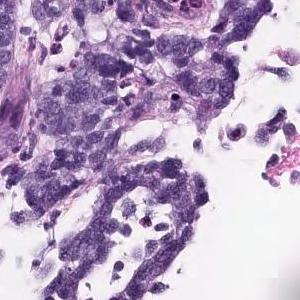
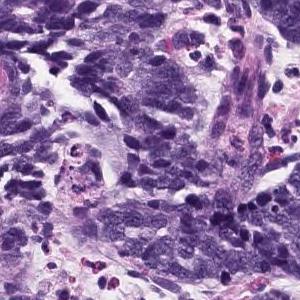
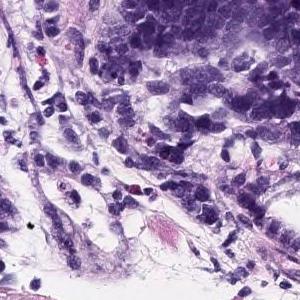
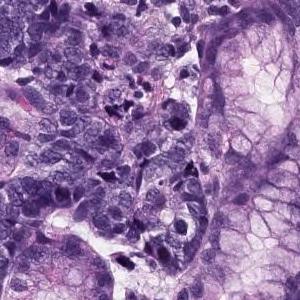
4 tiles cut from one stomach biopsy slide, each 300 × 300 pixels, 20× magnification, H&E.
The pathologist's report on the biopsy slide these tiles were taken from. The report and the diagnosis describe the slide as a whole, so these tiles may not show every feature named and may include non-tumor tissue.
Group 5, Adenocarcinoma. Moderately to poorly differentiated adenocarcinoma
